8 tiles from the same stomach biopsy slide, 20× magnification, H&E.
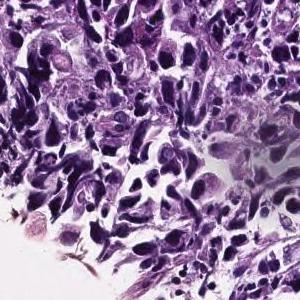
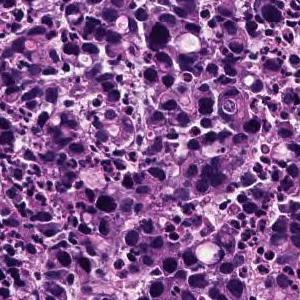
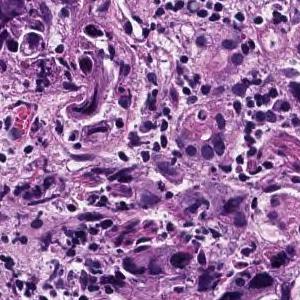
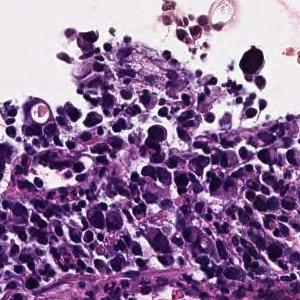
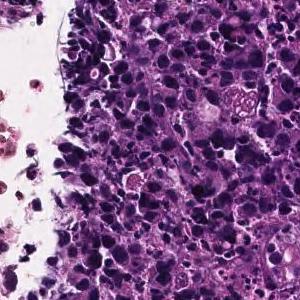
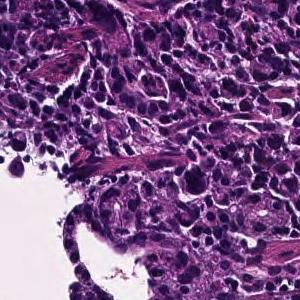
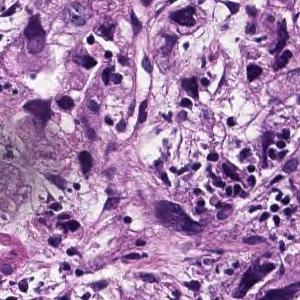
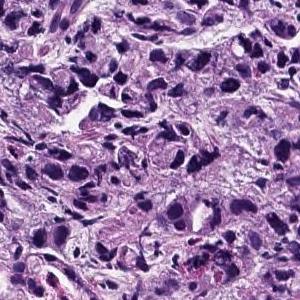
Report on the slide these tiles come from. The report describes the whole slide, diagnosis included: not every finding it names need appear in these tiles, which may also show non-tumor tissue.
The superficial epithelium shows a large sheet-like shape, and some tumor tissue infiltrates with small irregular ducts. Poorly differentiated adenocarcinoma, solid-type
Classified as poorly differentiated adenocarcinoma, solid type (Japanese Classification of Gastric Carcinoma). The WHO 2019 equivalent is tubular adenocarcinoma, poorly differentiated.
